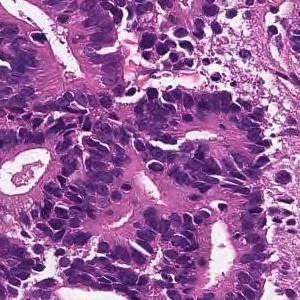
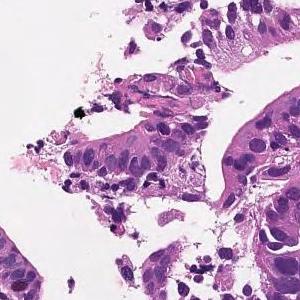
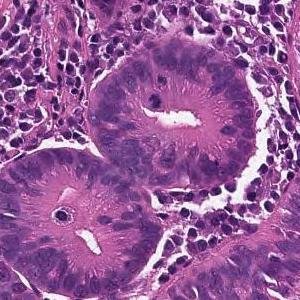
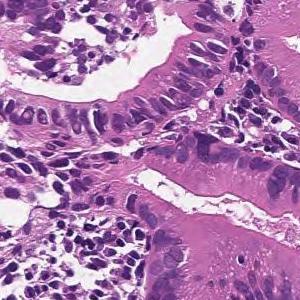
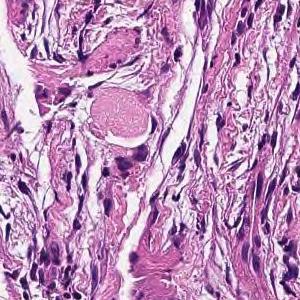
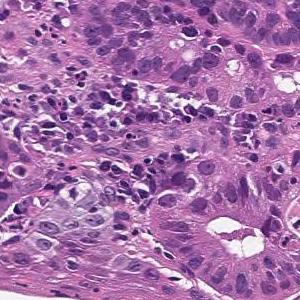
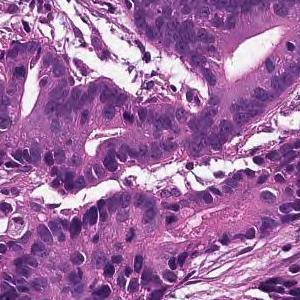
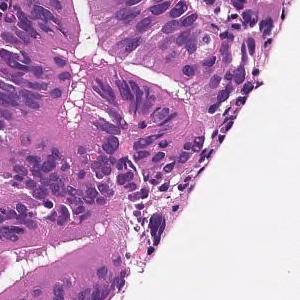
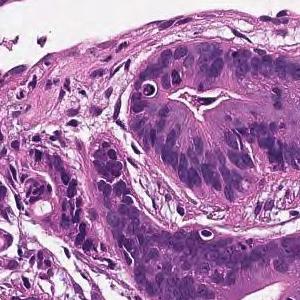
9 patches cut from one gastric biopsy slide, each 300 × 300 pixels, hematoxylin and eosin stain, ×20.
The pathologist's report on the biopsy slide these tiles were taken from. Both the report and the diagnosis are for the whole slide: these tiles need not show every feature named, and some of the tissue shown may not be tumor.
From the superficial epithelium to the muscularis mucosae, tumor tissue consisting of medium-sized and irregular glandular ducts infiltrating is observed. Well differentiated tubular adenocarcinoma
